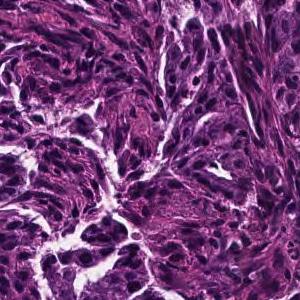
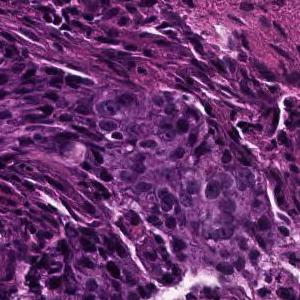
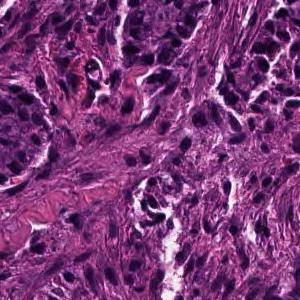
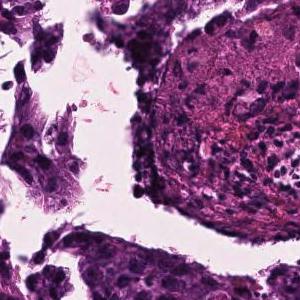
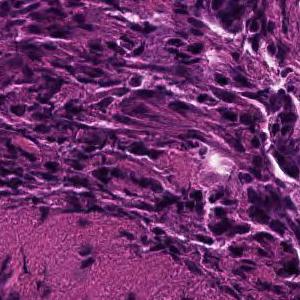
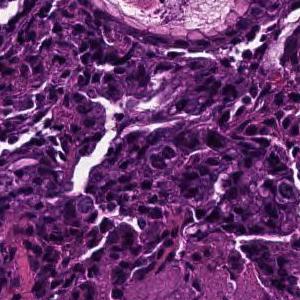
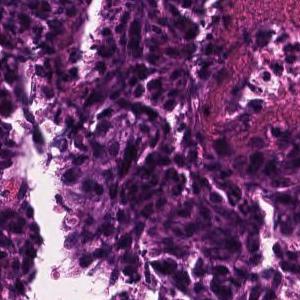
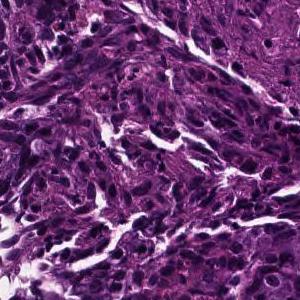
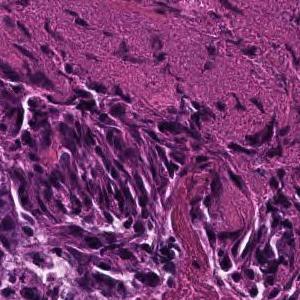
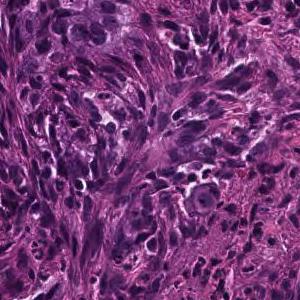
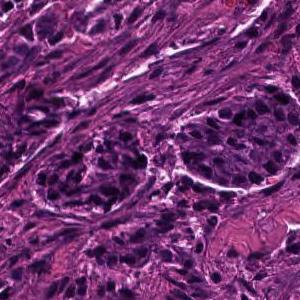
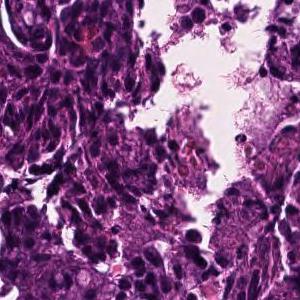
H&E stain, scanned at ×20, 12 tiles from the same stomach biopsy slide, each 300 × 300 pixels.
The pathologist's report on the biopsy slide these tiles were taken from. The report and the diagnosis cover the entire slide, so not every feature they name need be visible here, and some tissue shown may not be tumor.
Tumor tissue consisting of medium-sized, cord-like or irregular glandular infiltration is observed in the superficial epithelium. Poorly differentiated adenocarcinoma, non-solid type or moderately differentiated tubular adenocarcinoma
Histologic type: Moderately to poorly differentiated adenocarcinoma.
"Non-solid type" is a category of the Japanese Classification of Gastric Carcinoma.
